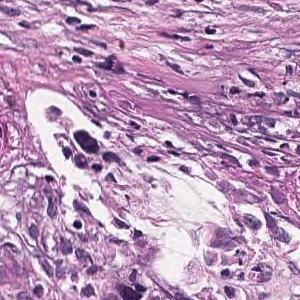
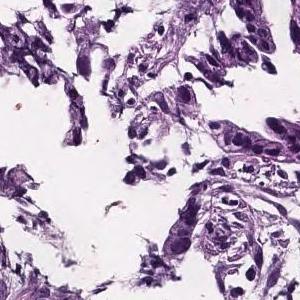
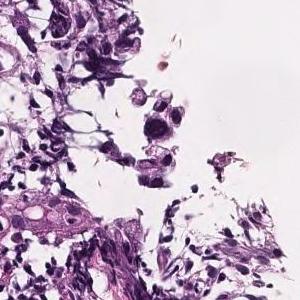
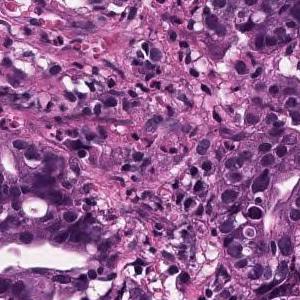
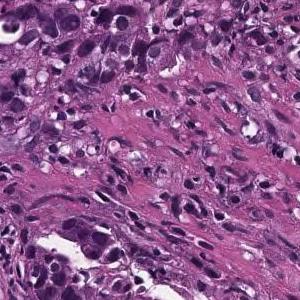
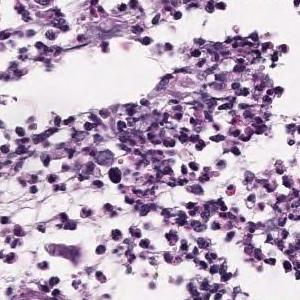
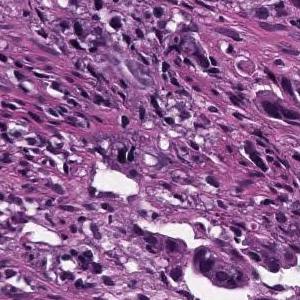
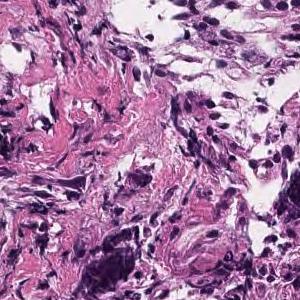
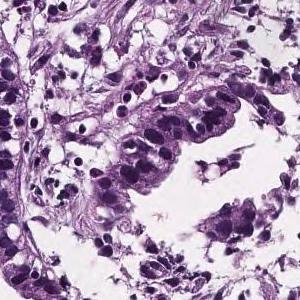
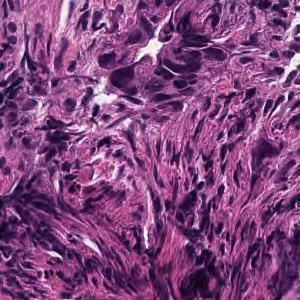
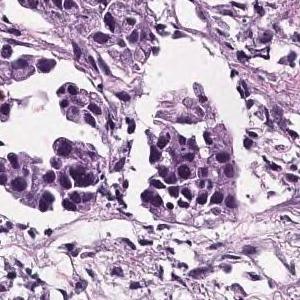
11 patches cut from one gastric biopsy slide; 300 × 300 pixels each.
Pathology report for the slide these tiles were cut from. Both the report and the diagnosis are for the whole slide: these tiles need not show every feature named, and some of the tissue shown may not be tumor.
In the superficial epithelium, tumor tissue that invades by forming medium-sized to small, irregular ducts is observed. moderately differentiated tubular adenocarcinoma.
